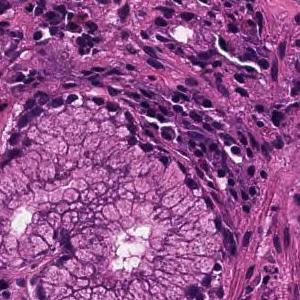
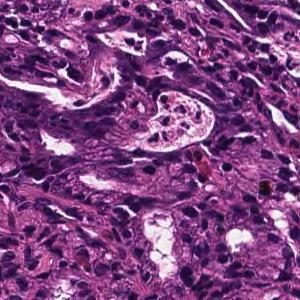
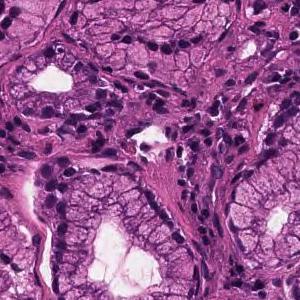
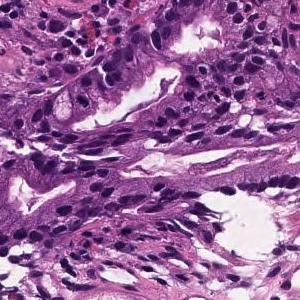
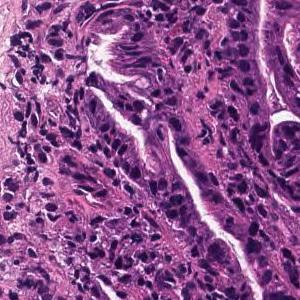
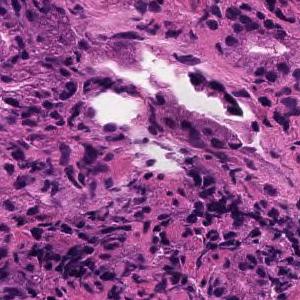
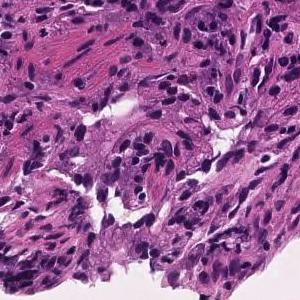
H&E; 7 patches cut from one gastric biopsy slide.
The pathologist's report on the biopsy slide these tiles were taken from. The report and the diagnosis cover the entire slide, so not every feature they name need be visible here, and some tissue shown may not be tumor.
In the superficial epithelium, tumor tissue that invades by forming medium-sized to small, irregular ducts is observed. moderately differentiated tubular adenocarcinoma.
